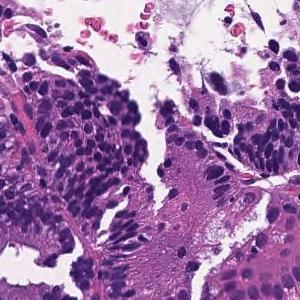
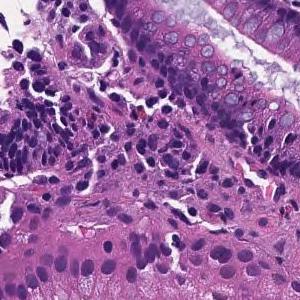
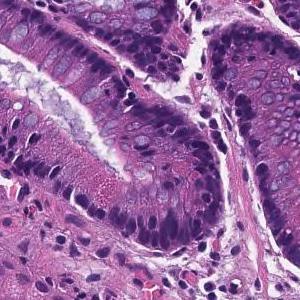
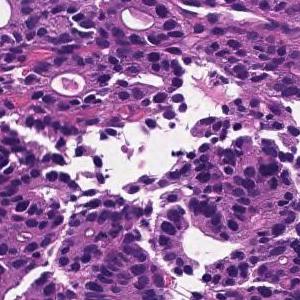
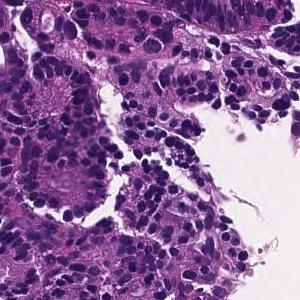
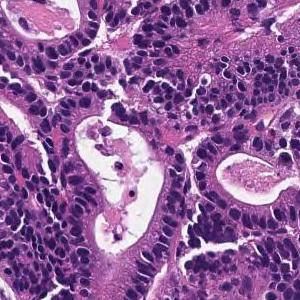
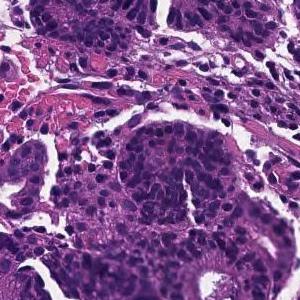
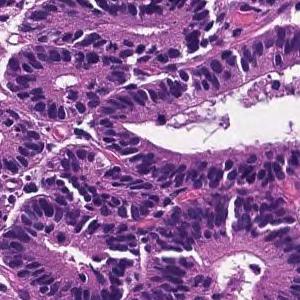
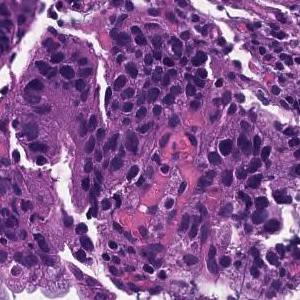
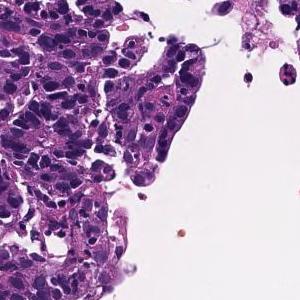
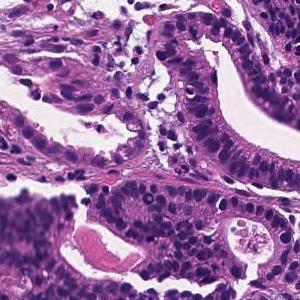
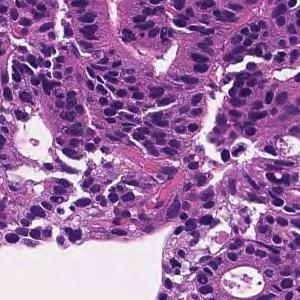
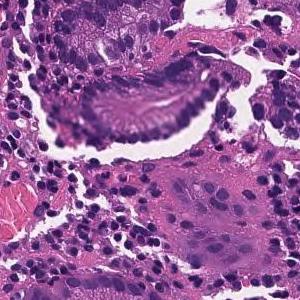
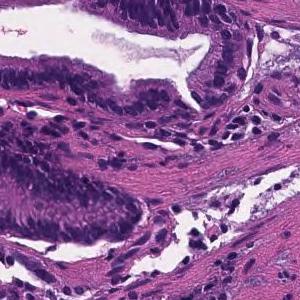
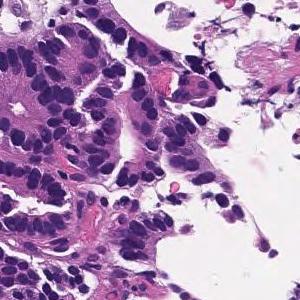
H&E; ×20; 15 tiles from the same stomach biopsy slide; each 300 × 300 pixels.
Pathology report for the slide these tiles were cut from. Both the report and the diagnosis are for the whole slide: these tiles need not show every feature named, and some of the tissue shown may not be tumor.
From the superficial epithelium to the muscularis mucosae, tumor tissue consisting of medium-sized and irregular glandular ducts infiltrating is observed. Well differentiated tubular adenocarcinoma
